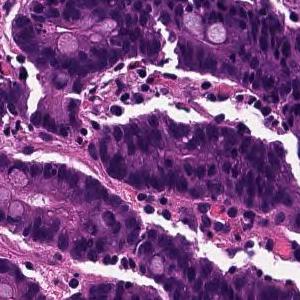
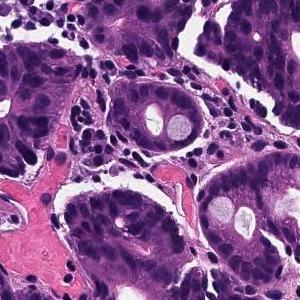
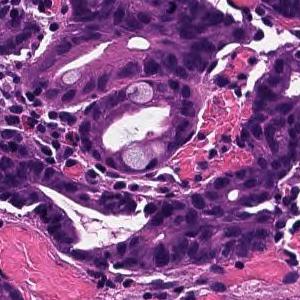
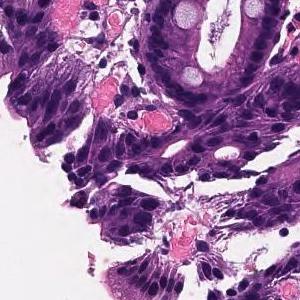
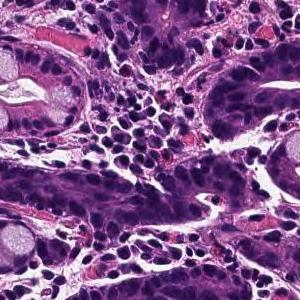
5 tiles cut from one stomach biopsy slide, 300 × 300 pixels each, hematoxylin and eosin stain, 20× magnification.
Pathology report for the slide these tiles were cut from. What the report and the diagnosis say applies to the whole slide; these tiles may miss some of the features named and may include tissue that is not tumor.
In the superficial epithelium, tumor tissue that invades by forming medium-sized to small, irregular ducts is observed. moderately differentiated tubular adenocarcinoma.
